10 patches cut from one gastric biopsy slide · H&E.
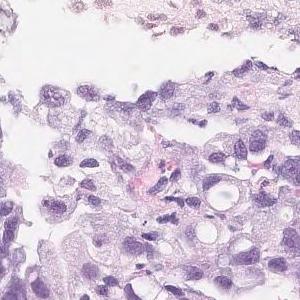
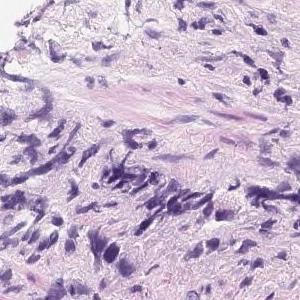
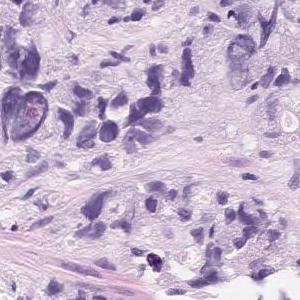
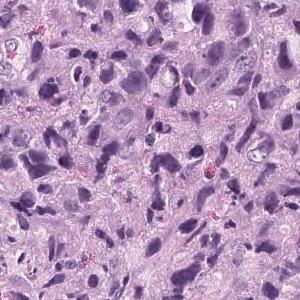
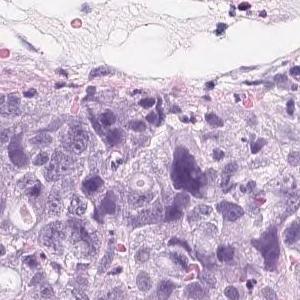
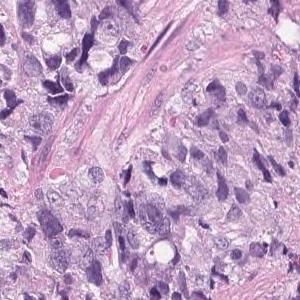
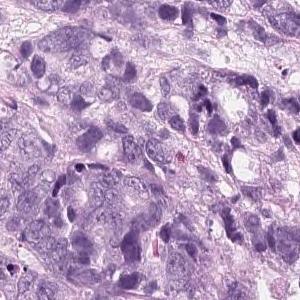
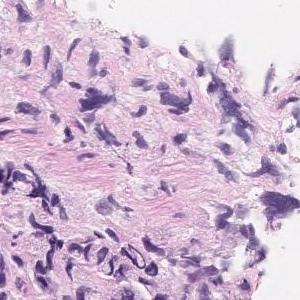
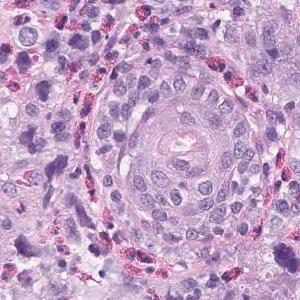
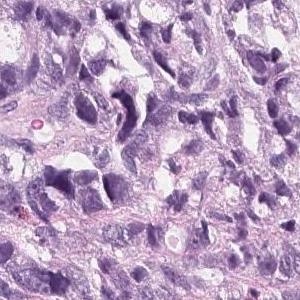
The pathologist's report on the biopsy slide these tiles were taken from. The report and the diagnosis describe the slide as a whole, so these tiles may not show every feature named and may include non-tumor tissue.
Tumor tissue that infiltrates and proliferates by forming small glandular cavities in the superficial layer to the submucosa or forming a mass is observed. moderately differentiated tubular adenocarcinoma
